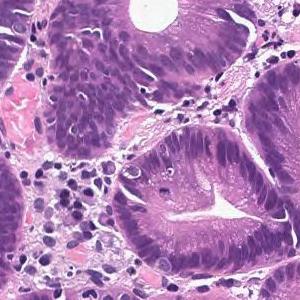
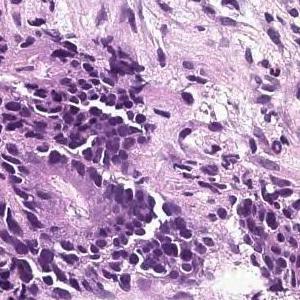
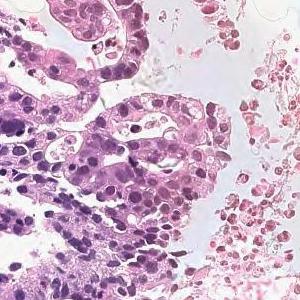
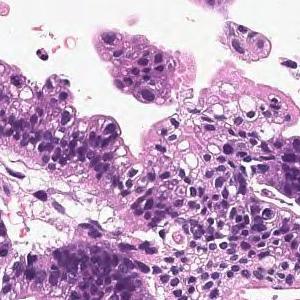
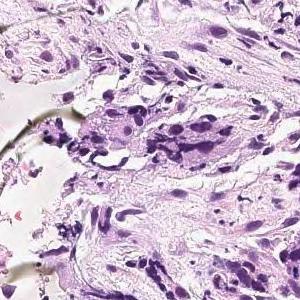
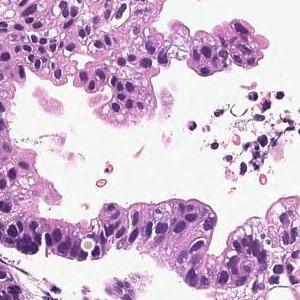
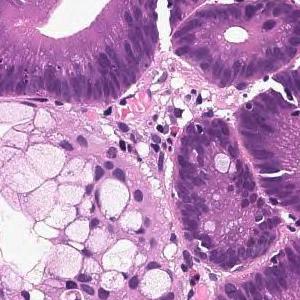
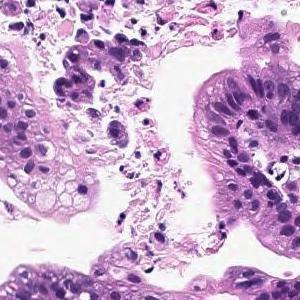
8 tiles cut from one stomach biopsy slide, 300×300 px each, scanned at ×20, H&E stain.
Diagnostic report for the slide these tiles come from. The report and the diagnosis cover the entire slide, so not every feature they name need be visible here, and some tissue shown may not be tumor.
In the superficial epithelium, tumor tissue that invades by forming medium-sized to small, irregular ducts is observed. moderately differentiated tubular adenocarcinoma.
